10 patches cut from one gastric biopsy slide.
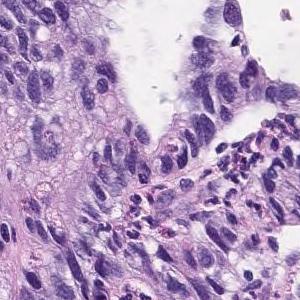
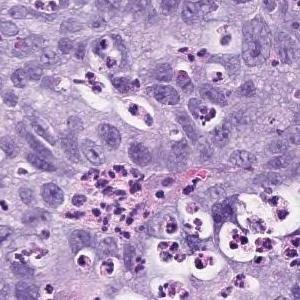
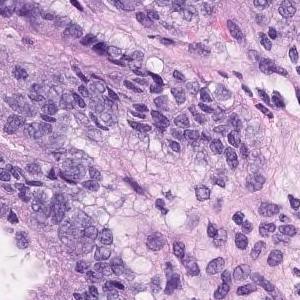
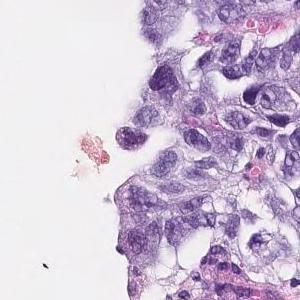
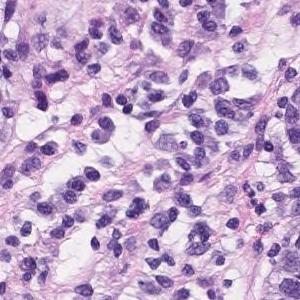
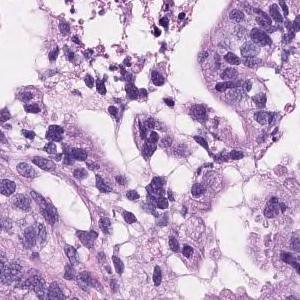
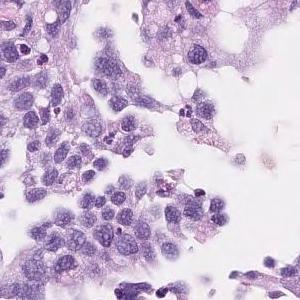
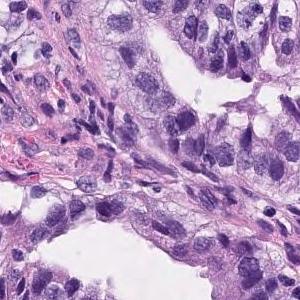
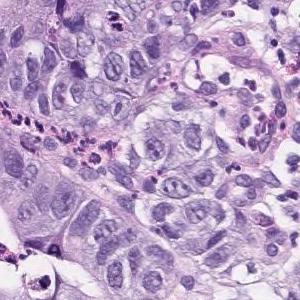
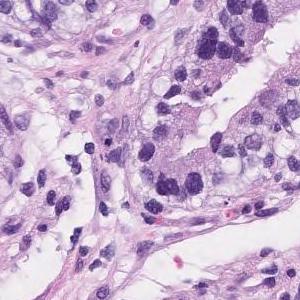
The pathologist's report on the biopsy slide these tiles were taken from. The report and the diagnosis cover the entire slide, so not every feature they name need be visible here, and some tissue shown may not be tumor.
Tumor cells are large, highly columnar, large club-shaped nuclei, and are associated with chromatin aggregation. Papillary adenocarcinoma.
